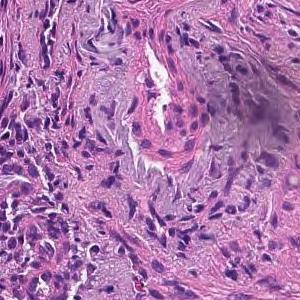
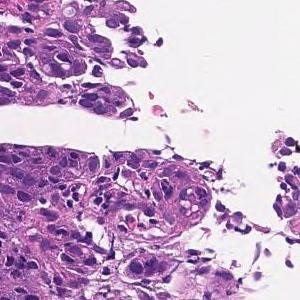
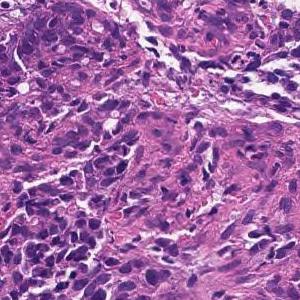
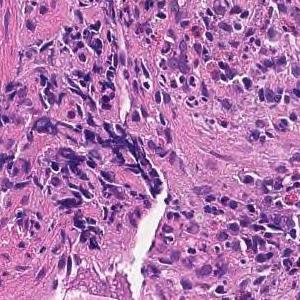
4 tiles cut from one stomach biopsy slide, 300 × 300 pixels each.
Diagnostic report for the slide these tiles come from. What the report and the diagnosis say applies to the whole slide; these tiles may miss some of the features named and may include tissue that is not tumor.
Tumor tissue consisting of cord-like or small, irregular glandular ducts fused and infiltrated is observed in the superficial epithelium. Poorly differentiated adenocarcinoma, non-solid type
"Non-solid type" is a category of the Japanese Classification of Gastric Carcinoma.
